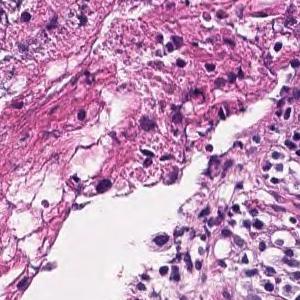
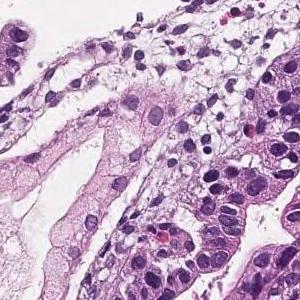
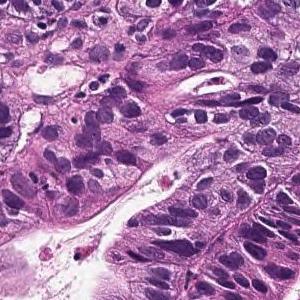
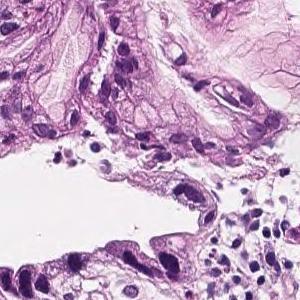
×20, H&E stain, 4 patches cut from one gastric biopsy slide, 300 × 300 pixels each.
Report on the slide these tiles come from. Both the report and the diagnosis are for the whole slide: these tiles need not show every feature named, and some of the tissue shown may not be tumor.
On the superficial epithelium, tumor tissue consisting of large, irregular glandular ducts partially fused and infiltrated is observed. Well to moderately differentiated tubular adenocarcinoma (well differentiated tubular adenocarcinoma, moderately differentiated tubular adenocarcinoma)
Histological subtype: Well to moderately differentiated tubular adenocarcinoma.
